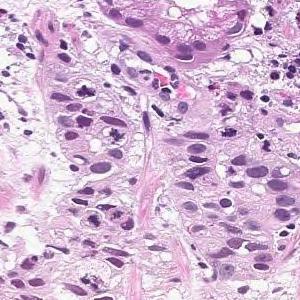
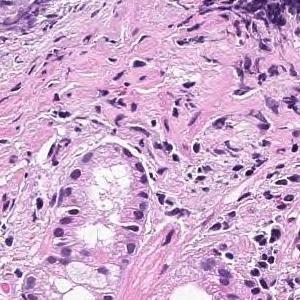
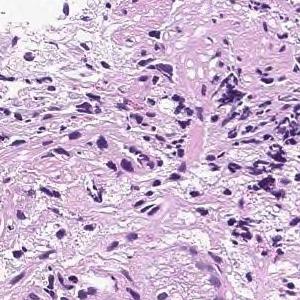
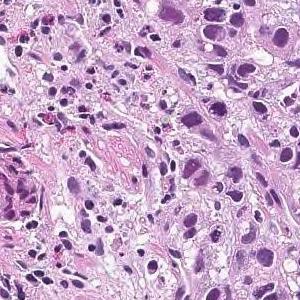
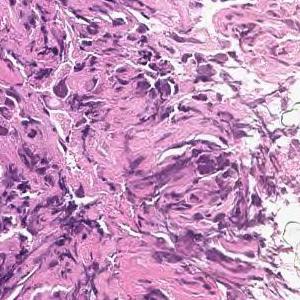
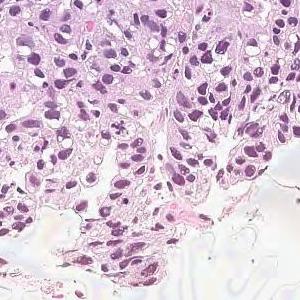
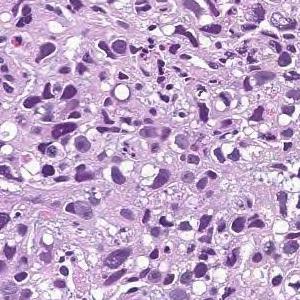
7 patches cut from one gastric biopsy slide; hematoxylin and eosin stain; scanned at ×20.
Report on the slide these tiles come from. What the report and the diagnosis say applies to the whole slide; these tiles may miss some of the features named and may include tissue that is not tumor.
Tumor tissue consisting of cord-like or small, irregular glandular ducts fused and infiltrated is observed in the superficial epithelium. Poorly differentiated adenocarcinoma, non-solid type
The term "non-solid type" comes from the Japanese Classification of Gastric Carcinoma.
